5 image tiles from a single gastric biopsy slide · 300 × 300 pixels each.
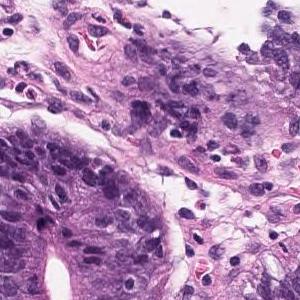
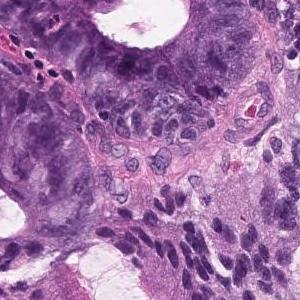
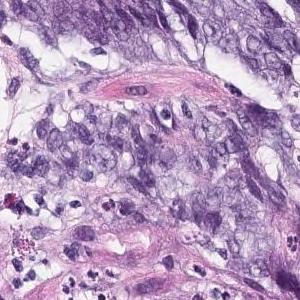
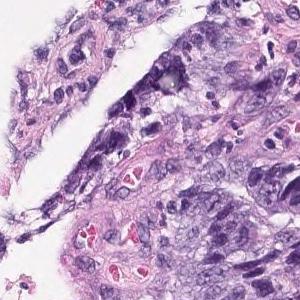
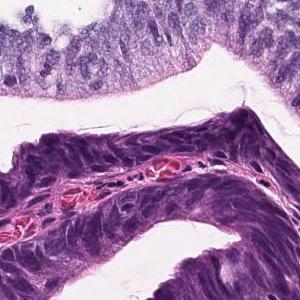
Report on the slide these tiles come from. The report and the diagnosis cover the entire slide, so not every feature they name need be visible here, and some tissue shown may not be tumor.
Large atypical epithelial cells with swollen atypical nuclei are seen proliferating into a tubular fusion gland. moderately differentiated tubular adenocarcinoma
